5 tiles cut from one stomach biopsy slide, 300×300 px each, H&E, ×20.
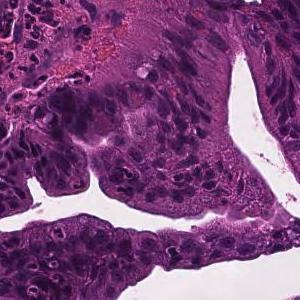
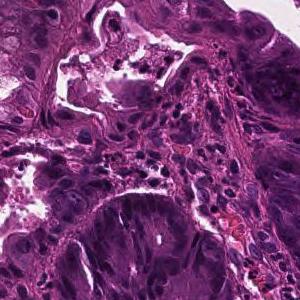
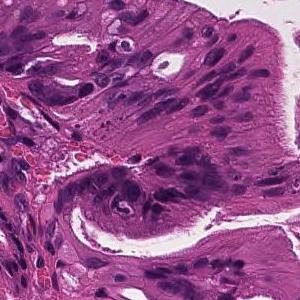
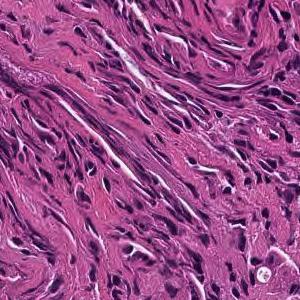
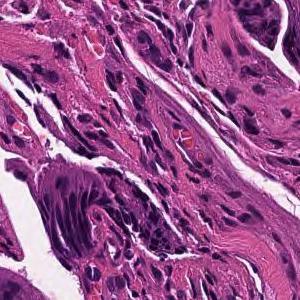
The pathologist's report on the biopsy slide these tiles were taken from. The report and the diagnosis cover the entire slide, so not every feature they name need be visible here, and some tissue shown may not be tumor.
Tumor cells are large, highly columnar, large club-shaped nuclei, and are associated with chromatin aggregation. Papillary adenocarcinoma.
